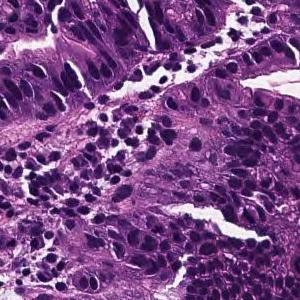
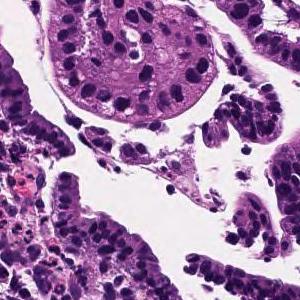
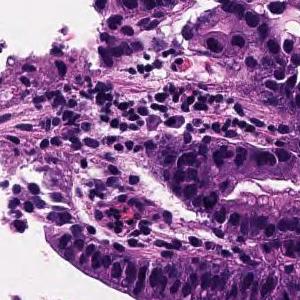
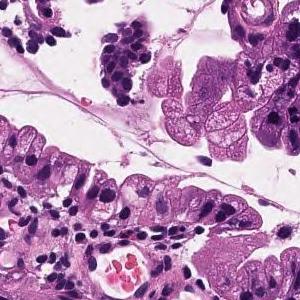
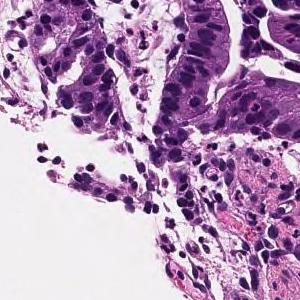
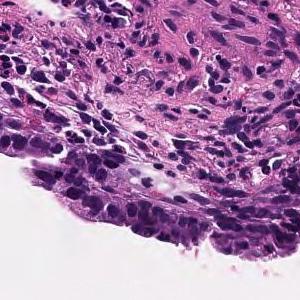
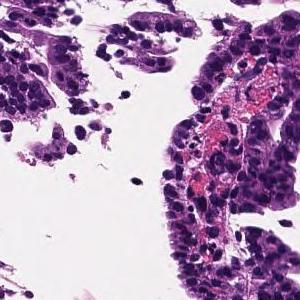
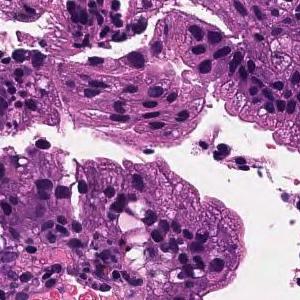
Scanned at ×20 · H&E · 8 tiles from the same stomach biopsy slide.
The pathologist's report on the biopsy slide these tiles were taken from. The findings and the diagnosis refer to the entire slide; these tiles show only part of it, possibly with non-tumor tissue, and may not show every feature named.
On the superficial epithelium, tumor tissue that infiltrates by forming medium-sized papillary or small irregular ducts is observed. Papillary adenocarcinoma
